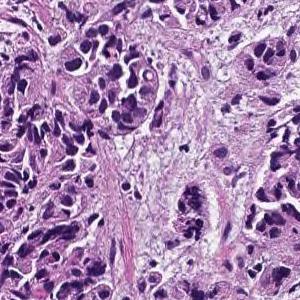
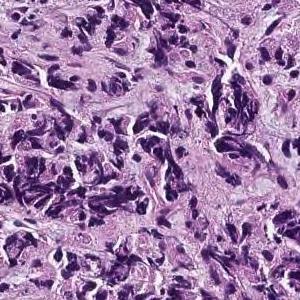
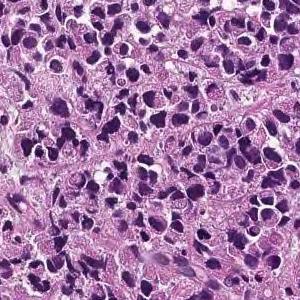
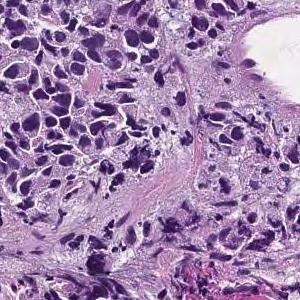
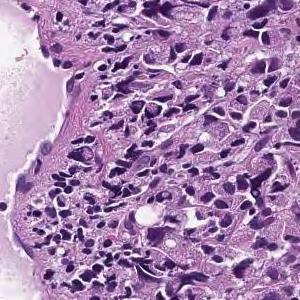
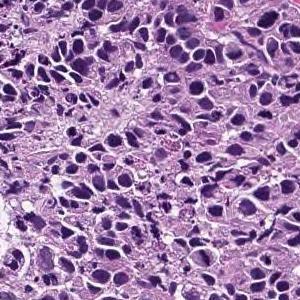
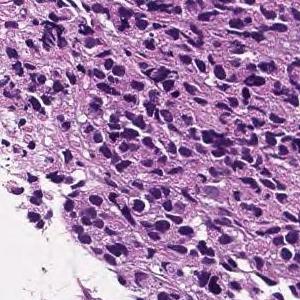
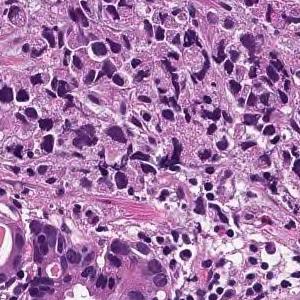
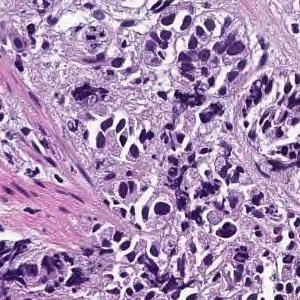
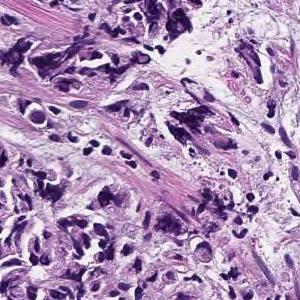
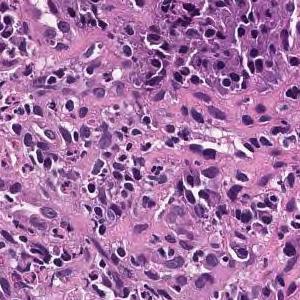
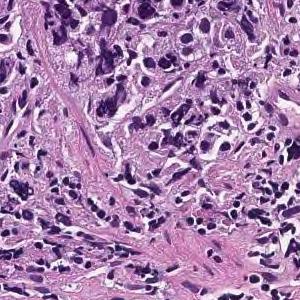
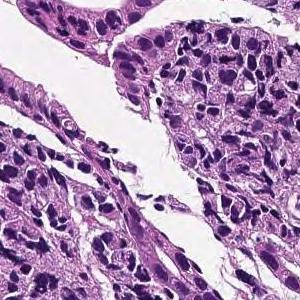
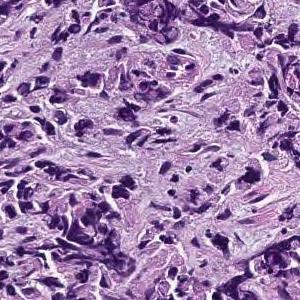
14 image tiles from a single gastric biopsy slide; each 300 × 300 pixels; hematoxylin and eosin stain.
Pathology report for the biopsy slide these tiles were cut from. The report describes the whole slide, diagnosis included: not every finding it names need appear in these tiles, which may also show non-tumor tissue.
The lamina propria shows small cord-like tumor tissue that infiltrates with fibrosis and marked chronic inflammatory cell infiltration. Poorly differentiated adenocarcinoma, non-solid type
The term "non-solid type" comes from the Japanese Classification of Gastric Carcinoma.
